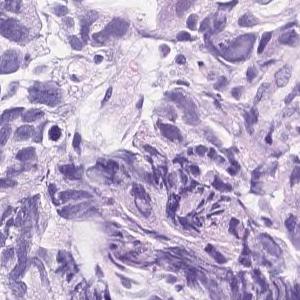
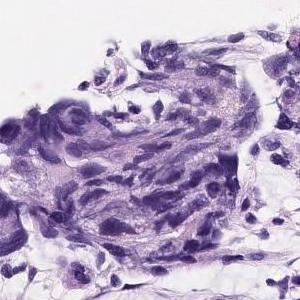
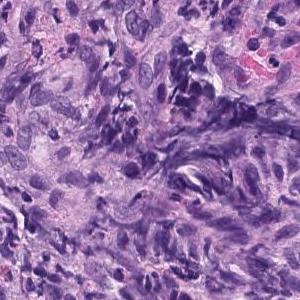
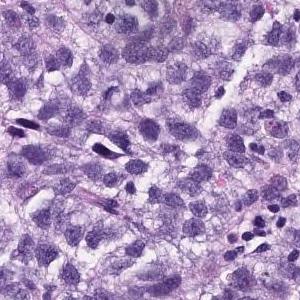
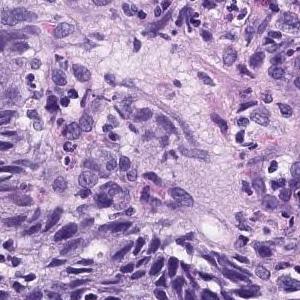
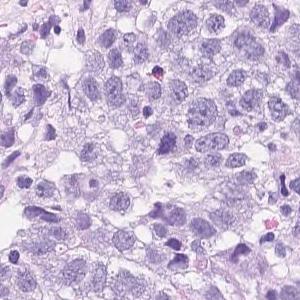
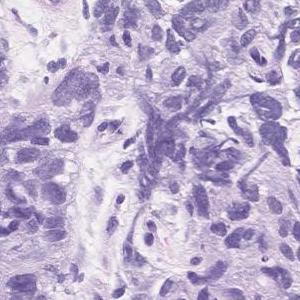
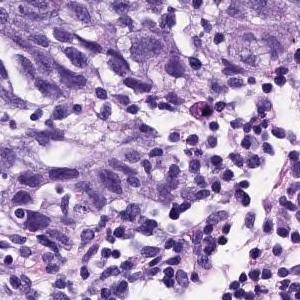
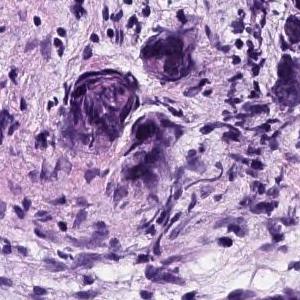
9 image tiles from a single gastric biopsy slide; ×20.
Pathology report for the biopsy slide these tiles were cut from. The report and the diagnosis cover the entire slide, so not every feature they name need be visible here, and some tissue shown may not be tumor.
Atypical epithelial cells with an increased N/C ratio proliferate and consist of a part that shows the formation of gland ducts and a part that shows solid growth. Poorly differentiated adenocarcinoma, solid-type
Histological subtype: Poorly differentiated adenocarcinoma, solid type (Japanese Classification of Gastric Carcinoma). The WHO 2019 equivalent is tubular adenocarcinoma, poorly differentiated.
